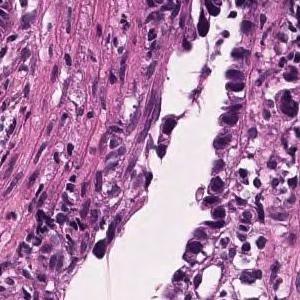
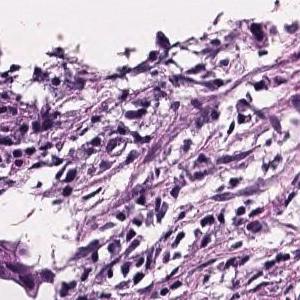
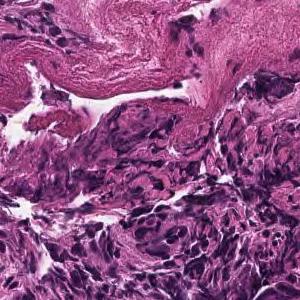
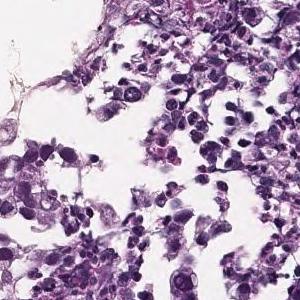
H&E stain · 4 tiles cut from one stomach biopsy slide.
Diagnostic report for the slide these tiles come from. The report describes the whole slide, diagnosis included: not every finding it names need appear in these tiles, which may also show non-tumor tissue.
In the superficial epithelium, tumor tissue that invades by forming medium-sized to small, irregular ducts is observed. moderately differentiated tubular adenocarcinoma.
